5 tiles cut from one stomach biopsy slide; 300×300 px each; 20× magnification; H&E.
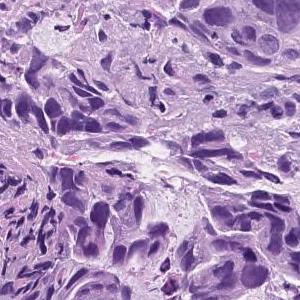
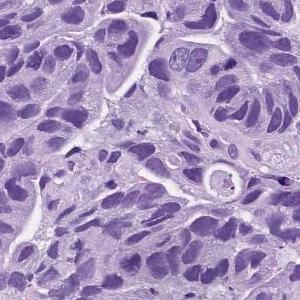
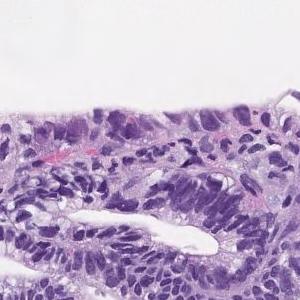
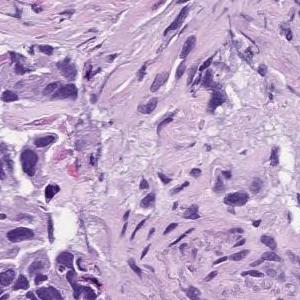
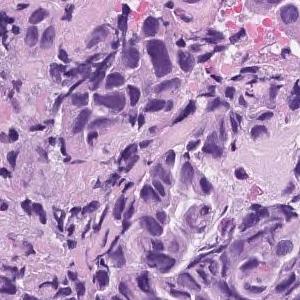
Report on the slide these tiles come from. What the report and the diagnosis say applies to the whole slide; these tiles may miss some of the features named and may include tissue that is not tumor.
In the superficial epithelium, tumor tissue that invades by forming medium-sized to small, irregular ducts is observed. moderately differentiated tubular adenocarcinoma.
